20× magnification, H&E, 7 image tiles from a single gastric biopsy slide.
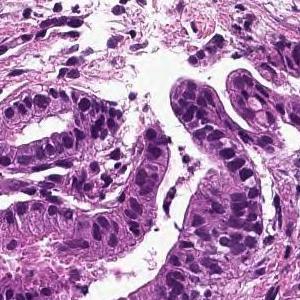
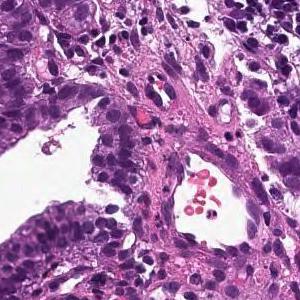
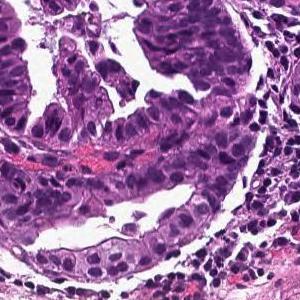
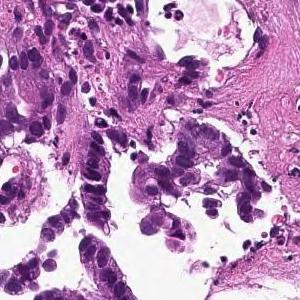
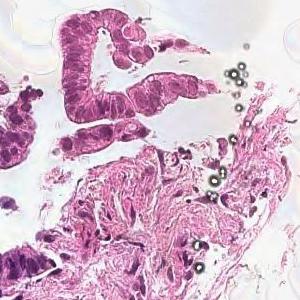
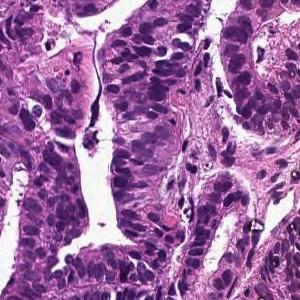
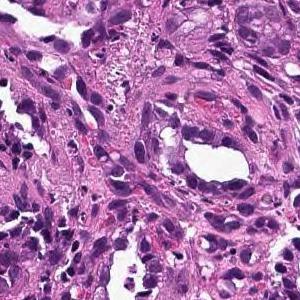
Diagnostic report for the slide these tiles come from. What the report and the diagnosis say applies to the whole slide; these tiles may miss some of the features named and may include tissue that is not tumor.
Tumor cells are large, highly columnar, large club-shaped nuclei, and are associated with chromatin aggregation. Papillary adenocarcinoma.
